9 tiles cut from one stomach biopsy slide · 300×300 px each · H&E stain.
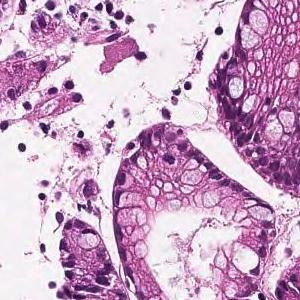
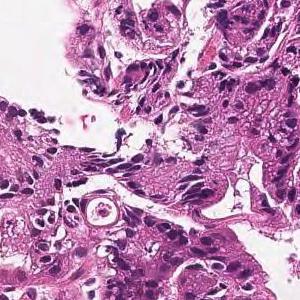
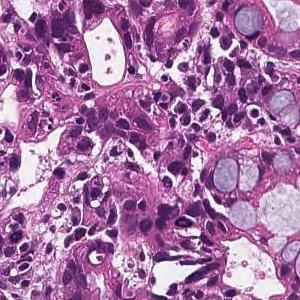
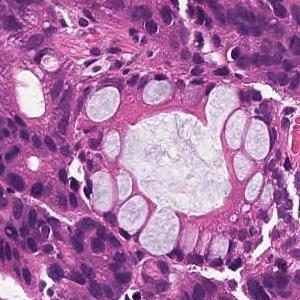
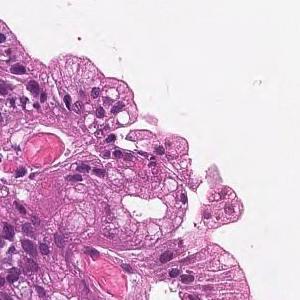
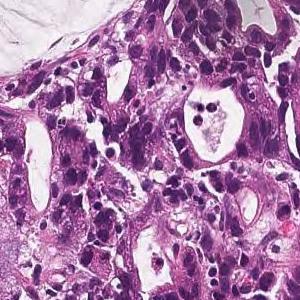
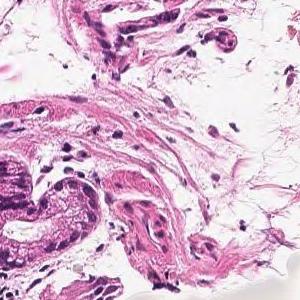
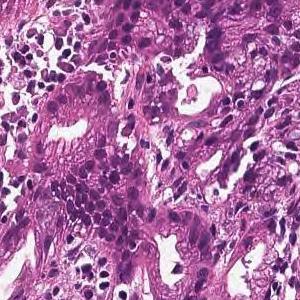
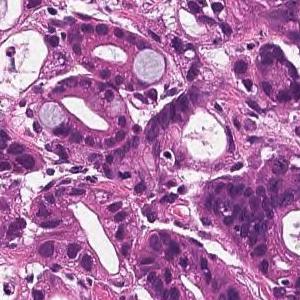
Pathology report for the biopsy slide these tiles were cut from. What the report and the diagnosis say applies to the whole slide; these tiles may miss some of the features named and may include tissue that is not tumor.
In the superficial epithelium, tumor tissue that invades by forming medium-sized to small, irregular ducts is observed. moderately differentiated tubular adenocarcinoma.
